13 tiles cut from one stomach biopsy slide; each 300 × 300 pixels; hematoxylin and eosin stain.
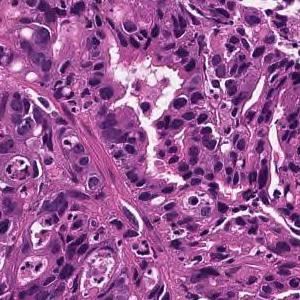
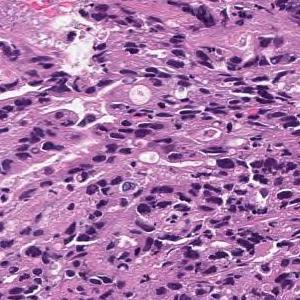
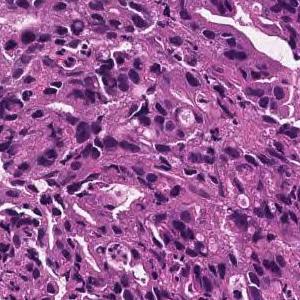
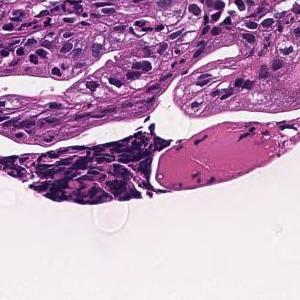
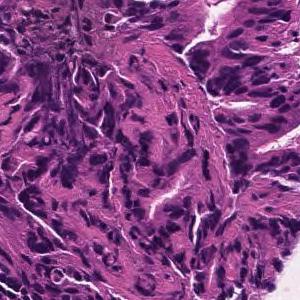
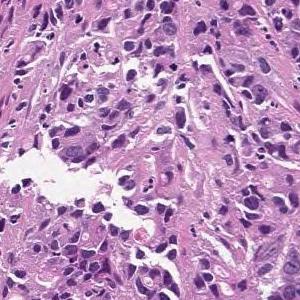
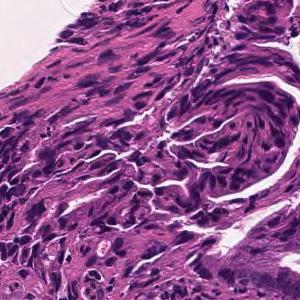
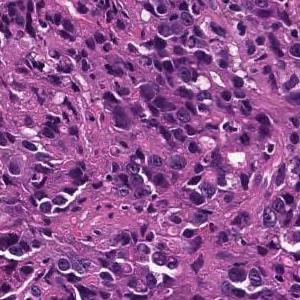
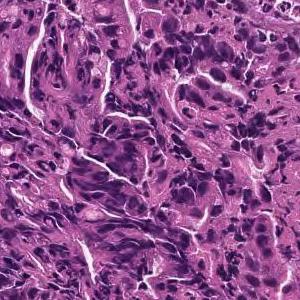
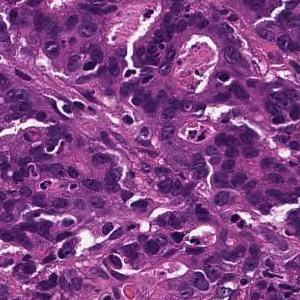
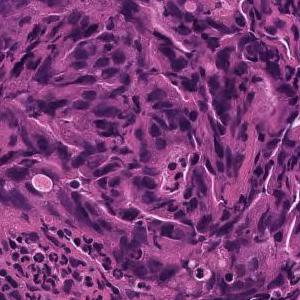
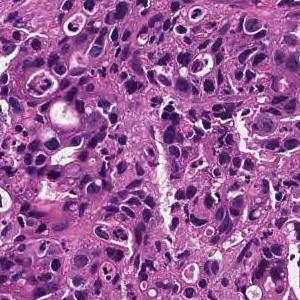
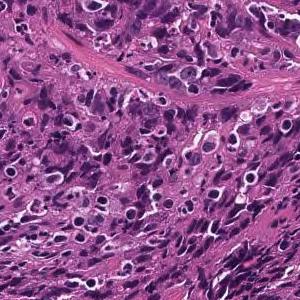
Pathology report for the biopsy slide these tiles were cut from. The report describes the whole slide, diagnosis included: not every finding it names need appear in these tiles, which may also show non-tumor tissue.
In the superficial epithelium, tumor tissue that invades by forming medium-sized to small, irregular ducts is observed. moderately differentiated tubular adenocarcinoma.
